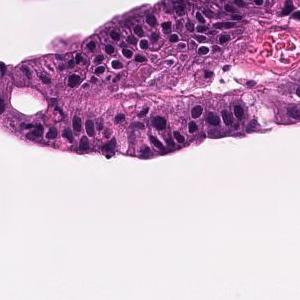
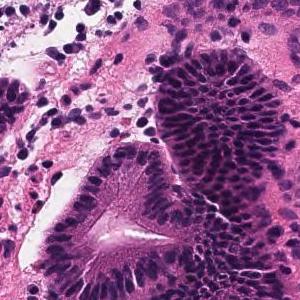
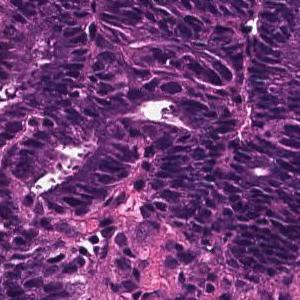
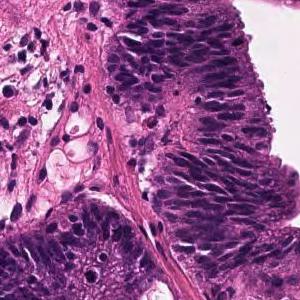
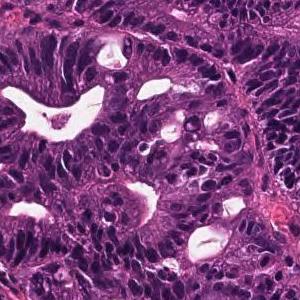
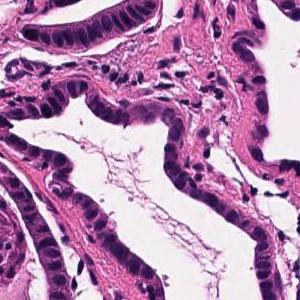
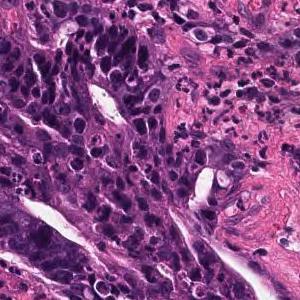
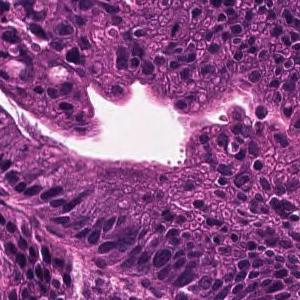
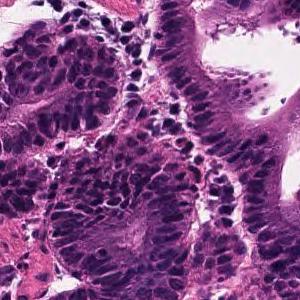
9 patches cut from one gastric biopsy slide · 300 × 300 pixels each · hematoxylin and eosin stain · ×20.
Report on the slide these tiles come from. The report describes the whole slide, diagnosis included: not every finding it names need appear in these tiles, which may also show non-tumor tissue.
Tumor tissue that remains within the superficial epithelium and is infiltrated by large papillary or irregular ducts that fuse with each other is observed. Well differentiated tubular adenocarcinoma
